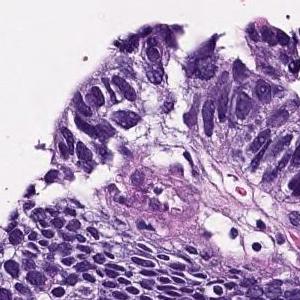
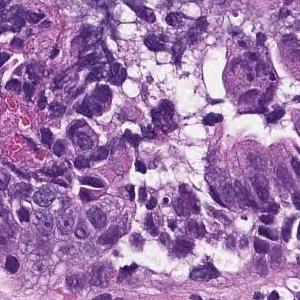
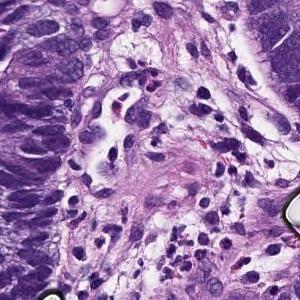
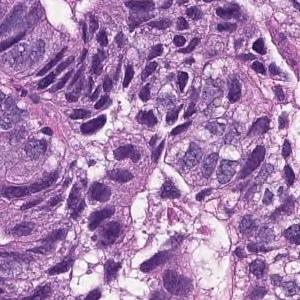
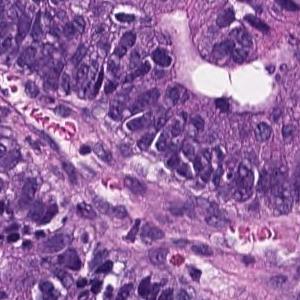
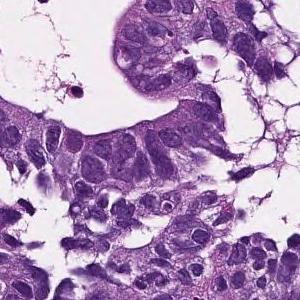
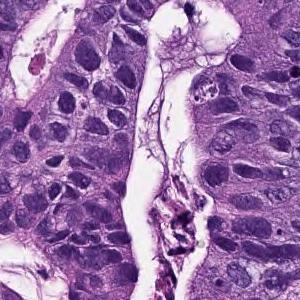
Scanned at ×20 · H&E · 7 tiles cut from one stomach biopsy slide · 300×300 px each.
Report on the slide these tiles come from. The report and the diagnosis cover the entire slide, so not every feature they name need be visible here, and some tissue shown may not be tumor.
In the superficial epithelium, tumor tissue that invades by forming medium-sized to small, irregular ducts is observed. moderately differentiated tubular adenocarcinoma.
